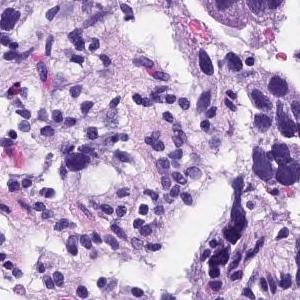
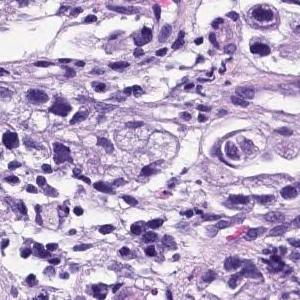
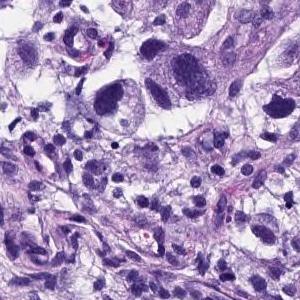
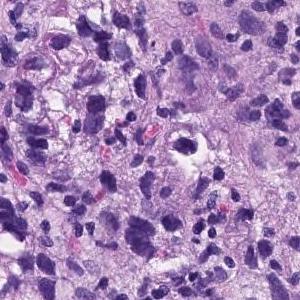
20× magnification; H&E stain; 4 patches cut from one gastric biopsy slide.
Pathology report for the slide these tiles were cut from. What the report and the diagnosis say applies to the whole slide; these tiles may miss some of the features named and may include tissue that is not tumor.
Medium to small, irregular glandular ducts are formed in the superficial epithelium, and in some cases, the glandular ducts are fused to show solid alveolar lesions and infiltrating tumor tissue is observed. Poorly differentiated adenocarcinoma, Moderately differentiated adenocarcinoma.
Dataset label: moderately differentiated tubular adenocarcinoma.
